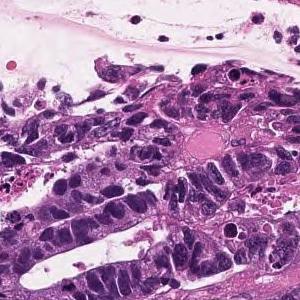
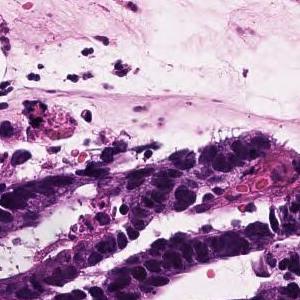
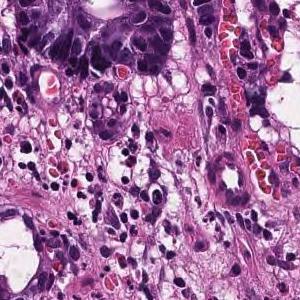
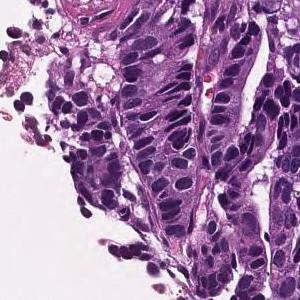
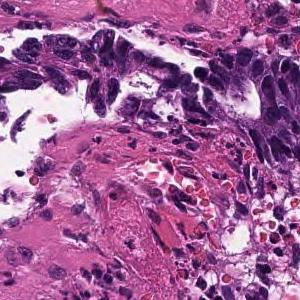
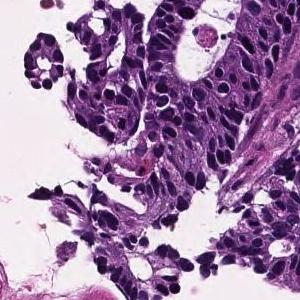
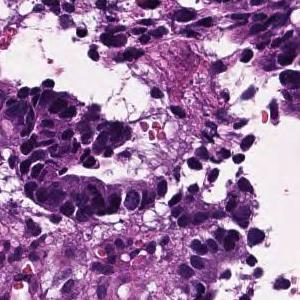
7 tiles cut from one stomach biopsy slide, scanned at ×20, hematoxylin and eosin stain.
Report on the slide these tiles come from. The report and the diagnosis describe the slide as a whole, so these tiles may not show every feature named and may include non-tumor tissue.
Tumor tissue consisting of large, irregular glandular ducts, centered on the submucosa, infiltrated by fusion with each other is observed. Well to moderately differentiated tubular adenocarcinoma (well differentiated tubular adenocarcinoma-moderately differentiated tubular adenocarcinoma)
Tumor subtype: well to moderately differentiated tubular adenocarcinoma.
